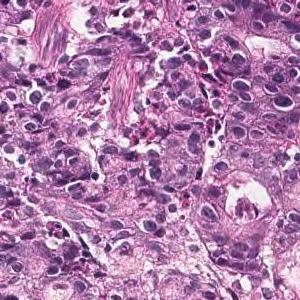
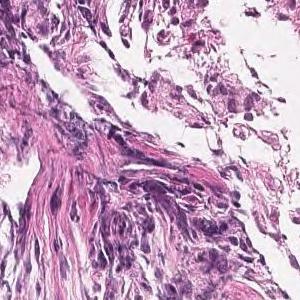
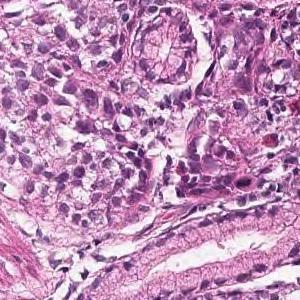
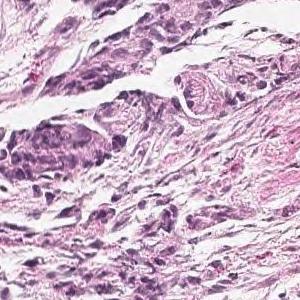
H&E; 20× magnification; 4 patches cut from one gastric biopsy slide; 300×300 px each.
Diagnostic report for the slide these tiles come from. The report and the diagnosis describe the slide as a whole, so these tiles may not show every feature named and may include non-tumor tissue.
Tumor tissue consisting of medium-sized, cord-like or irregular glandular infiltration is observed in the superficial epithelium. Poorly differentiated adenocarcinoma, non-solid type or moderately differentiated tubular adenocarcinoma
The term "non-solid type" comes from the Japanese Classification of Gastric Carcinoma.
